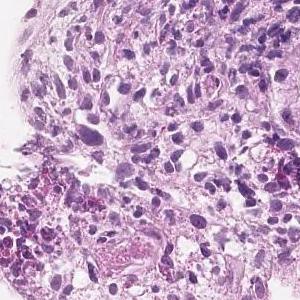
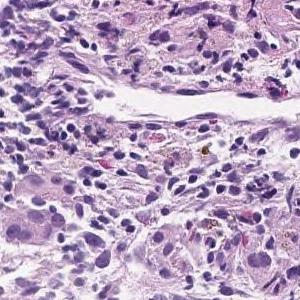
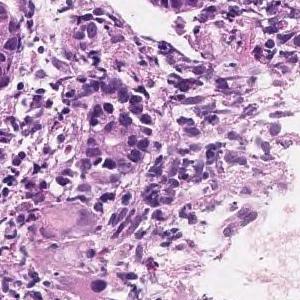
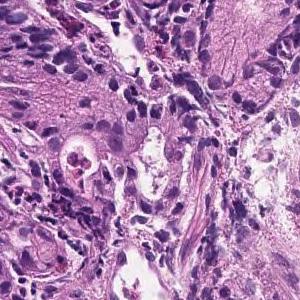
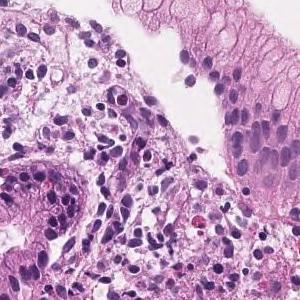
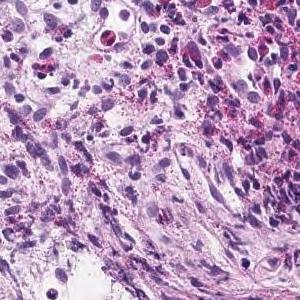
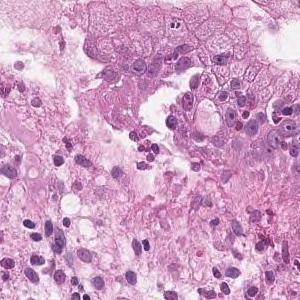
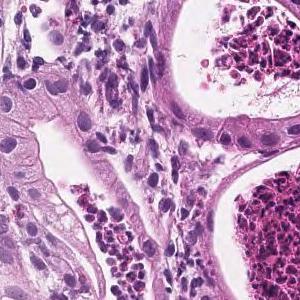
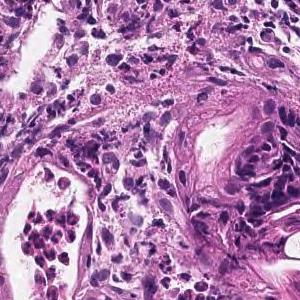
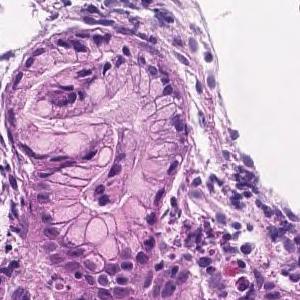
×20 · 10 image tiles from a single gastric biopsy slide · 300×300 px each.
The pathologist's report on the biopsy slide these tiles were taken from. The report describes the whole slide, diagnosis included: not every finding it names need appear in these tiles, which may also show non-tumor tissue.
In the superficial epithelium, tumor tissue that invades by forming medium-sized to small, irregular ducts is observed. moderately differentiated tubular adenocarcinoma.
